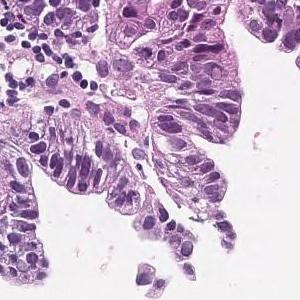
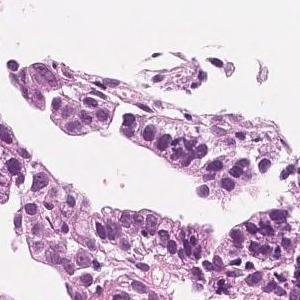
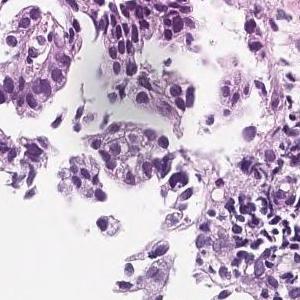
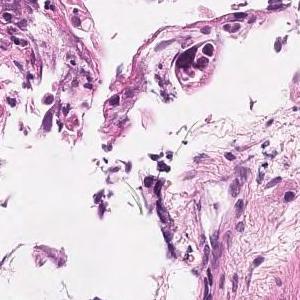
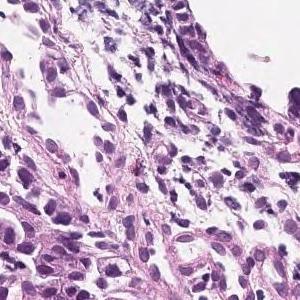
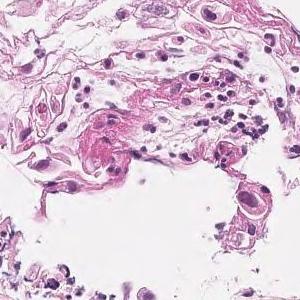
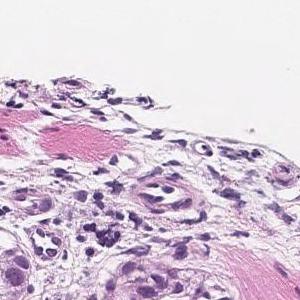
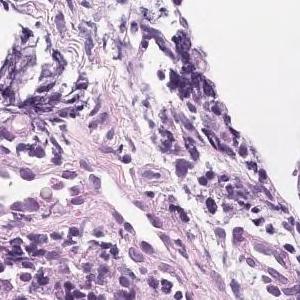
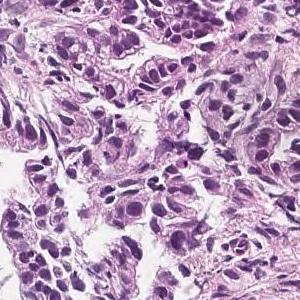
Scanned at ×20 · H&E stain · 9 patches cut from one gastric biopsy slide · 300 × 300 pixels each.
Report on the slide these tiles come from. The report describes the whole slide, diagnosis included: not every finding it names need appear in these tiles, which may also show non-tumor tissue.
In the superficial epithelium, tumor tissue that invades by forming medium-sized to small, irregular ducts is observed. moderately differentiated tubular adenocarcinoma.
